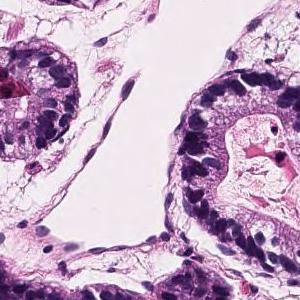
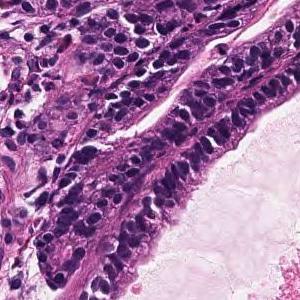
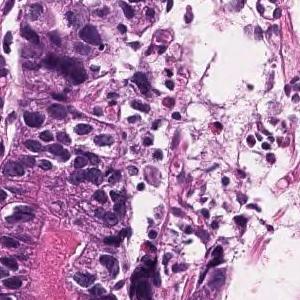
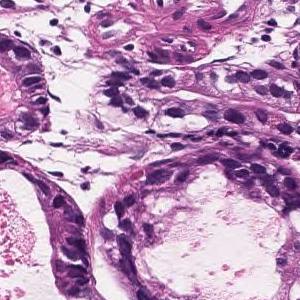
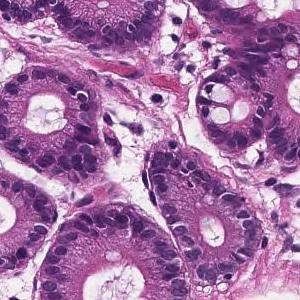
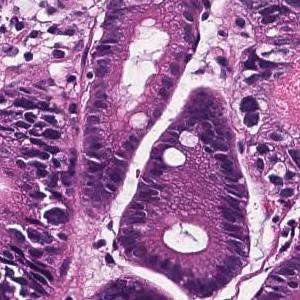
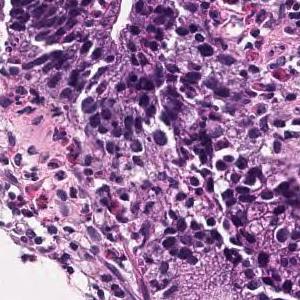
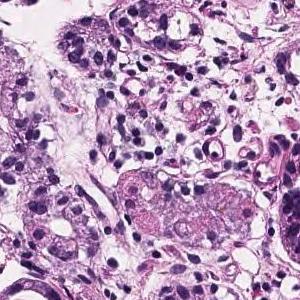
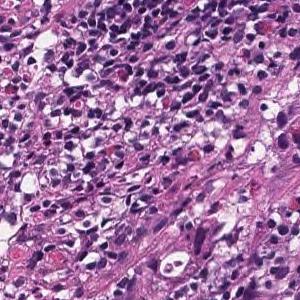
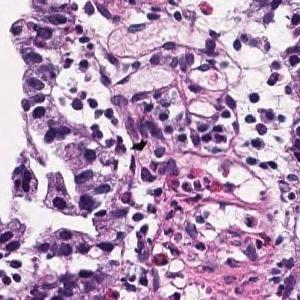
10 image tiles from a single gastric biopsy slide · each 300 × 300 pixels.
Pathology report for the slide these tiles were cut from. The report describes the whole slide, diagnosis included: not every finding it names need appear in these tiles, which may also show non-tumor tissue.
Tumor tissue consisting of medium-sized and irregular ducts is observed infiltrating in the superficial epithelium. Tumor cells are highly columnar, with nuclei aligned basolaterally and polarized. Well differentiated tubular adenocarcinoma.
